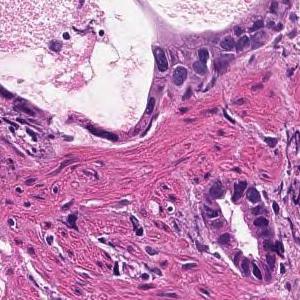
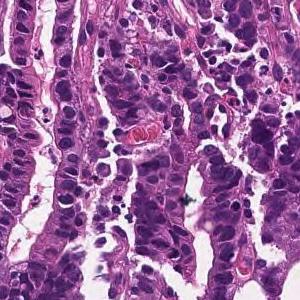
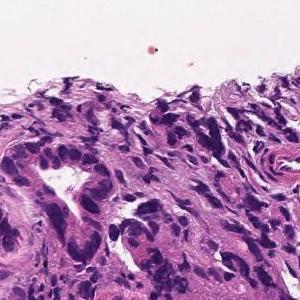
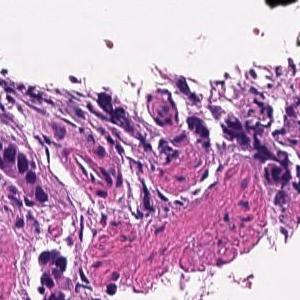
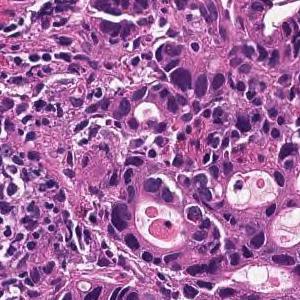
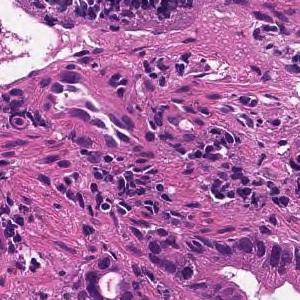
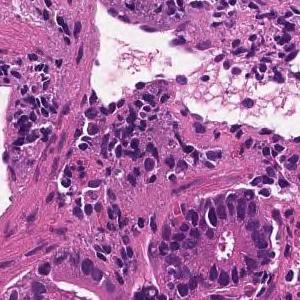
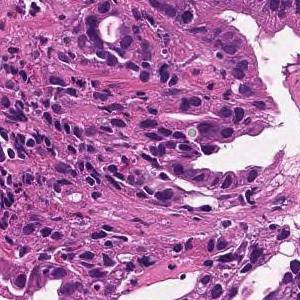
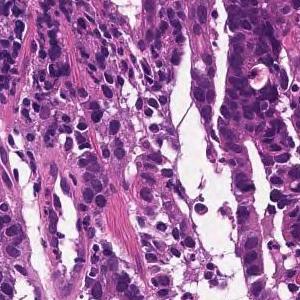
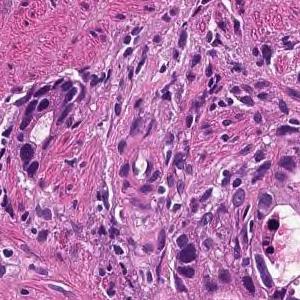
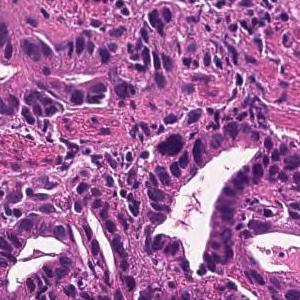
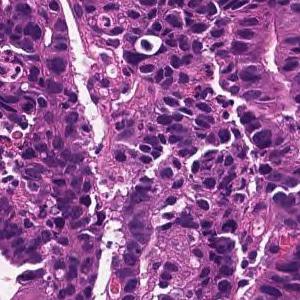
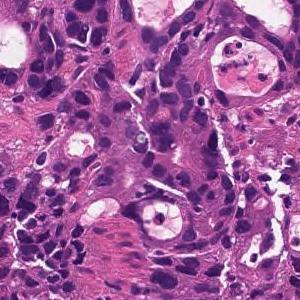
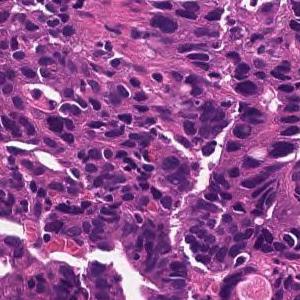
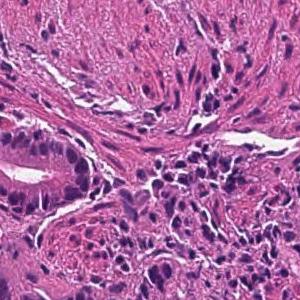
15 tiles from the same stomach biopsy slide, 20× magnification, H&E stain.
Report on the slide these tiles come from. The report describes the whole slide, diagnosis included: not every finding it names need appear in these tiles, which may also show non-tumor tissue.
In the superficial epithelium, tumor tissue that invades by forming medium-sized to small, irregular ducts is observed. moderately differentiated tubular adenocarcinoma.
